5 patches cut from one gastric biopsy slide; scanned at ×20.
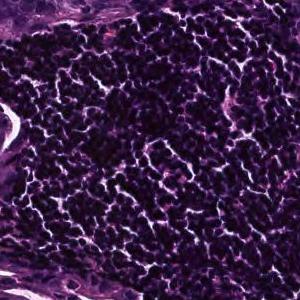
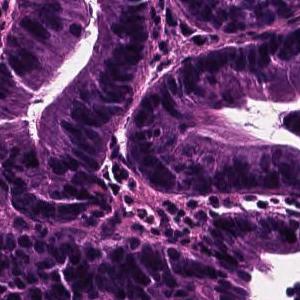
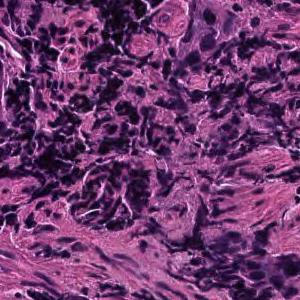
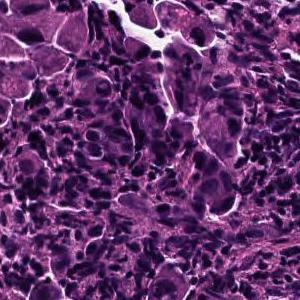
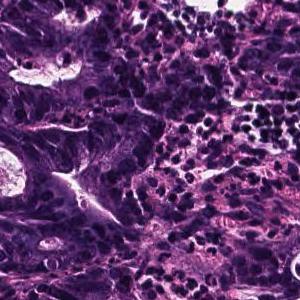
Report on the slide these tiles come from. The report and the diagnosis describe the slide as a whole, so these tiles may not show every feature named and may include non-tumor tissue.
On the superficial epithelium, tumor tissue consisting of large, irregular glandular ducts partially fused and infiltrated is observed. Well to moderately differentiated tubular adenocarcinoma (well differentiated tubular adenocarcinoma, moderately differentiated tubular adenocarcinoma)
Histological subtype: Well to moderately differentiated tubular adenocarcinoma.
